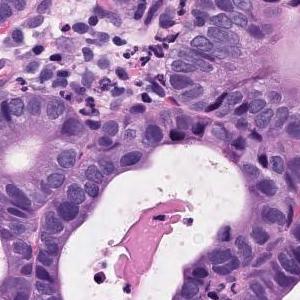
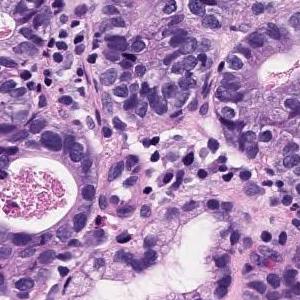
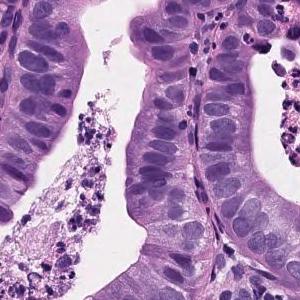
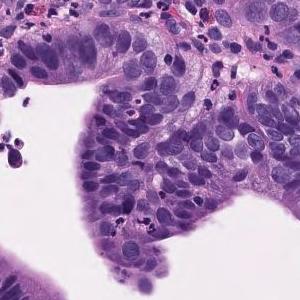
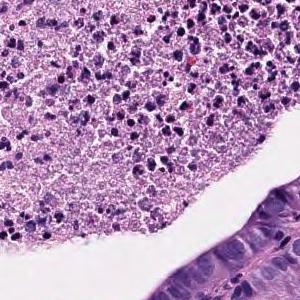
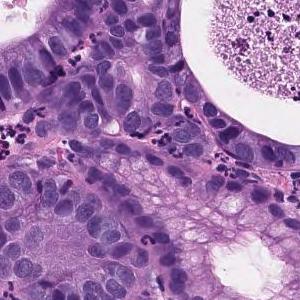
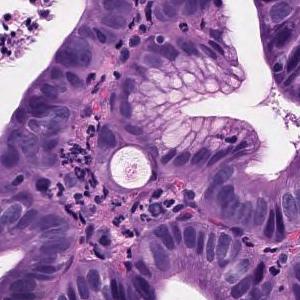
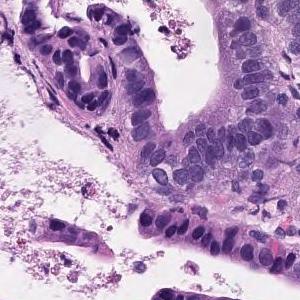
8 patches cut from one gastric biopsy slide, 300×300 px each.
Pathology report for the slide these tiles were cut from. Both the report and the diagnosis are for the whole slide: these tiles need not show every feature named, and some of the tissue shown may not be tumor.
Tumor tissue consisting of proliferative medium to large, round or irregular glandular ducts in the superficial epithelium. Well differentiated adenocarcinoma.
Histological subtype: Well differentiated tubular adenocarcinoma.
